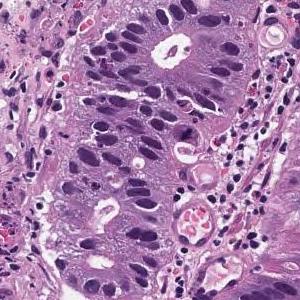
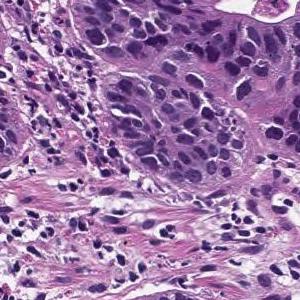
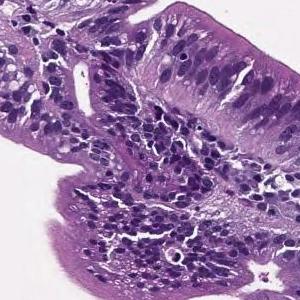
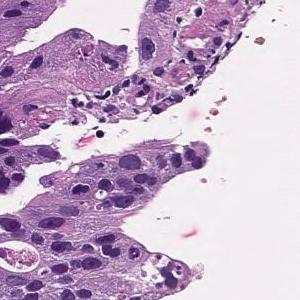
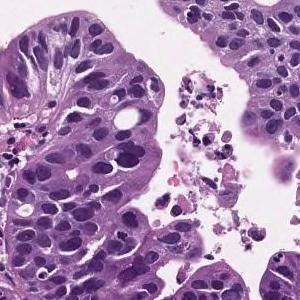
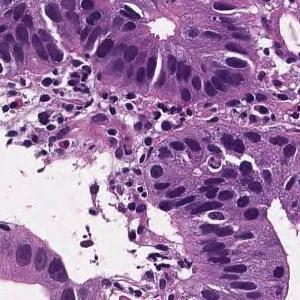
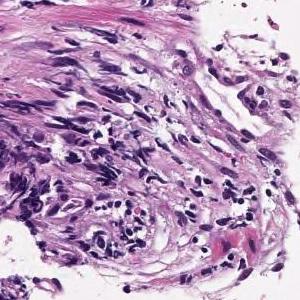
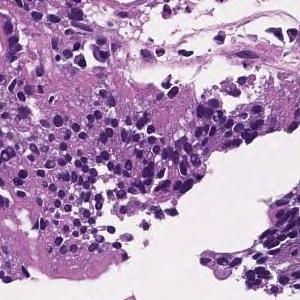
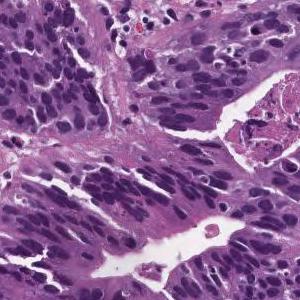
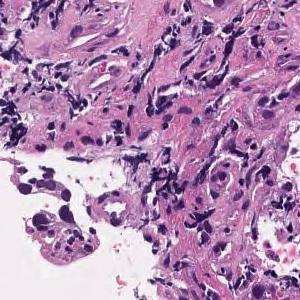
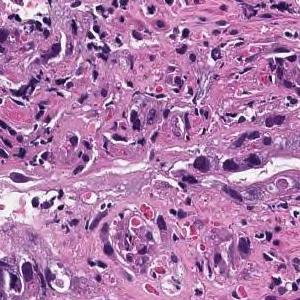
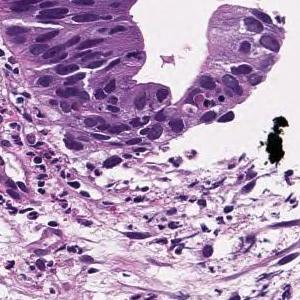
Scanned at ×20 · hematoxylin and eosin stain · 12 tiles cut from one stomach biopsy slide · 300×300 px each.
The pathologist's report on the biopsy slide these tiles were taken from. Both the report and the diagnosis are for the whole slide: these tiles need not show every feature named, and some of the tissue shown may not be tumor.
Tumor cells are large, highly columnar, large club-shaped nuclei, and are associated with chromatin aggregation. Papillary adenocarcinoma.
